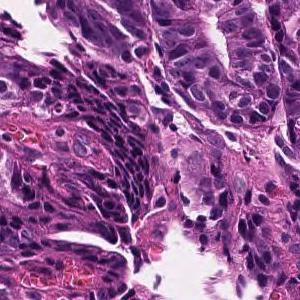
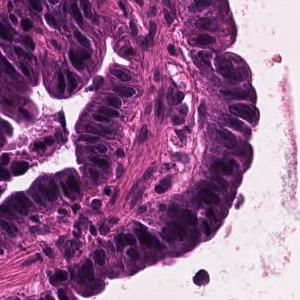
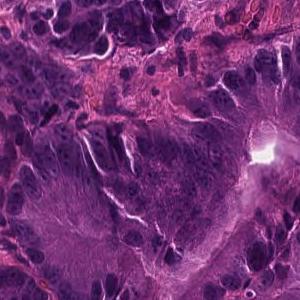
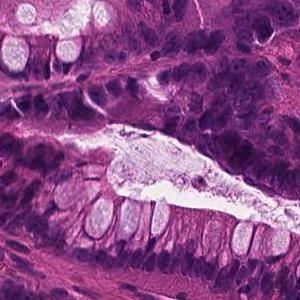
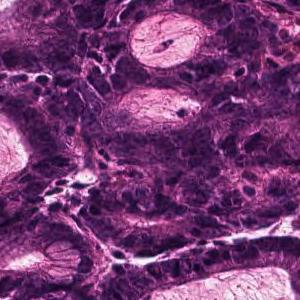
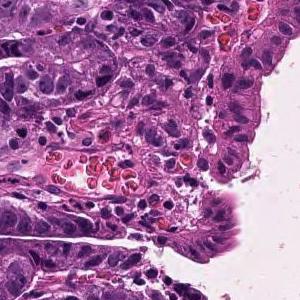
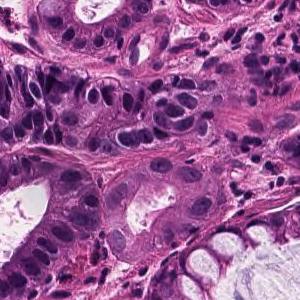
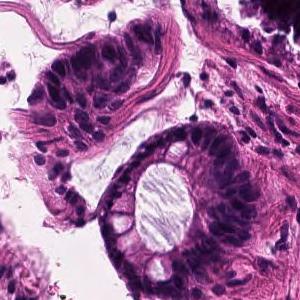
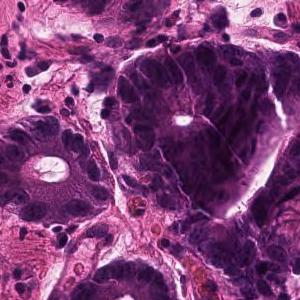
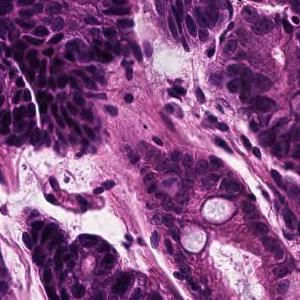
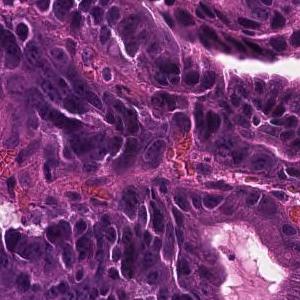
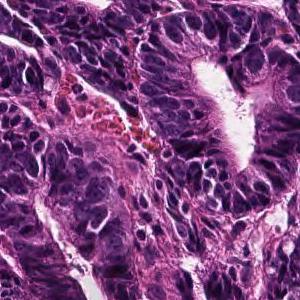
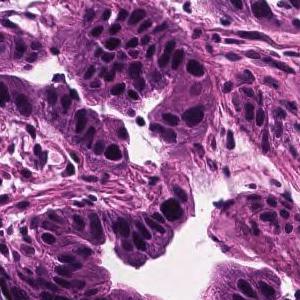
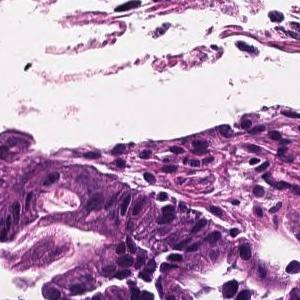
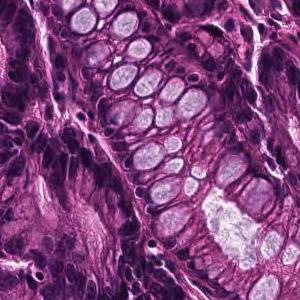
15 tiles from the same stomach biopsy slide; 300×300 px each; ×20; hematoxylin and eosin stain.
Pathology report for the slide these tiles were cut from. What the report and the diagnosis say applies to the whole slide; these tiles may miss some of the features named and may include tissue that is not tumor.
In the superficial epithelium, tumor tissue that invades by forming medium-sized to small, irregular ducts is observed. Well differentiated tubular adenocarcinoma.
